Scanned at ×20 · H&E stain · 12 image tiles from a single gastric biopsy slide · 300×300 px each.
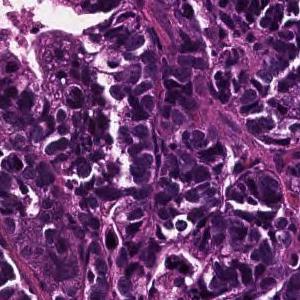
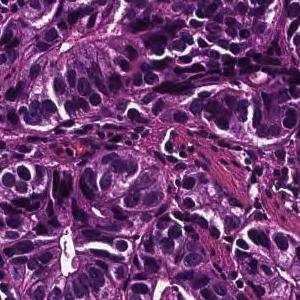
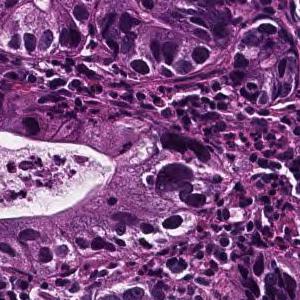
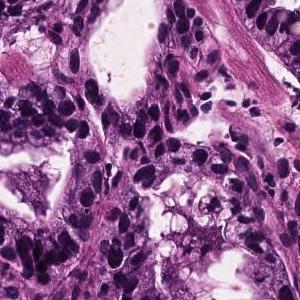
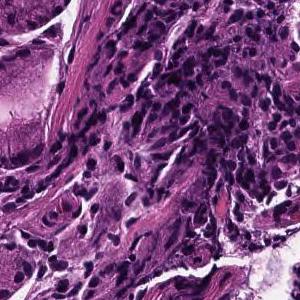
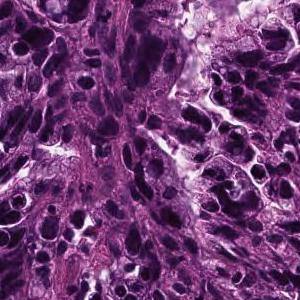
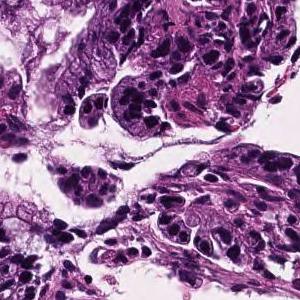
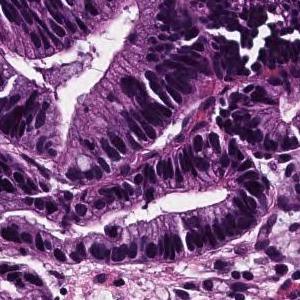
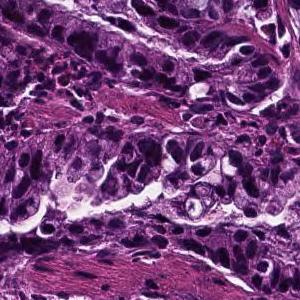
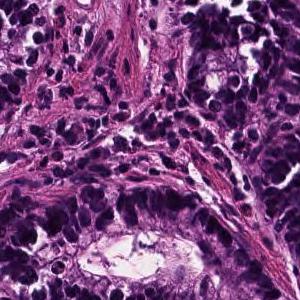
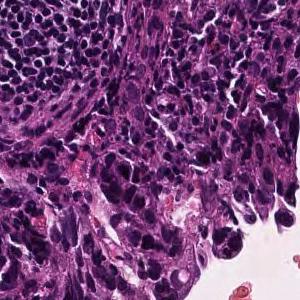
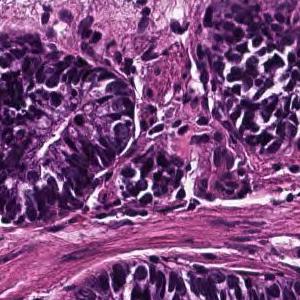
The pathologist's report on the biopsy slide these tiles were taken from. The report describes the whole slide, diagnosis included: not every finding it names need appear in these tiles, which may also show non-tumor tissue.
In the superficial epithelium, tumor tissue that invades by forming medium-sized to small, irregular ducts is observed. Well differentiated tubular adenocarcinoma.
